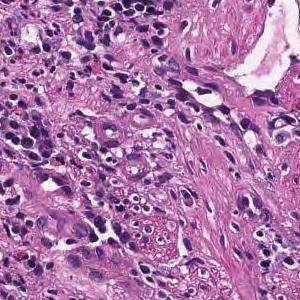
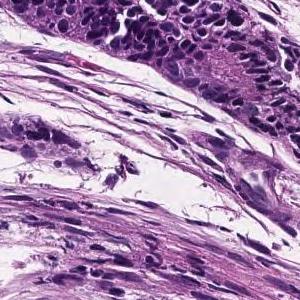
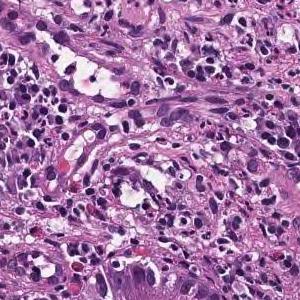
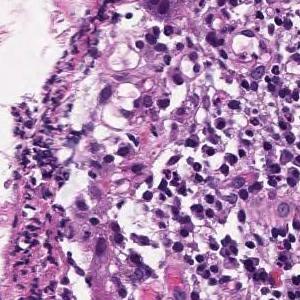
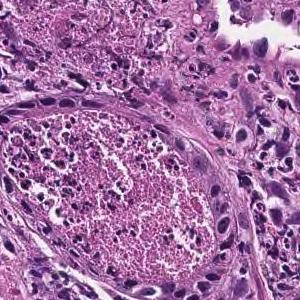
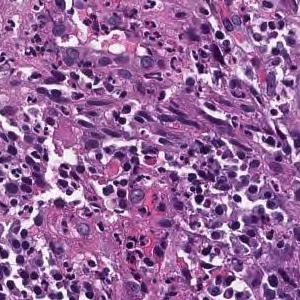
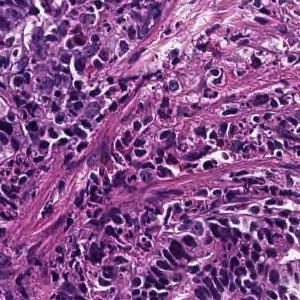
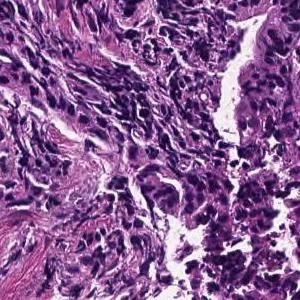
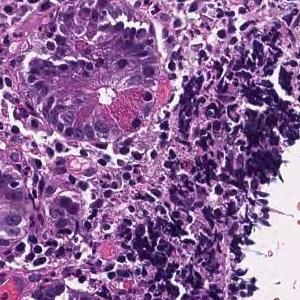
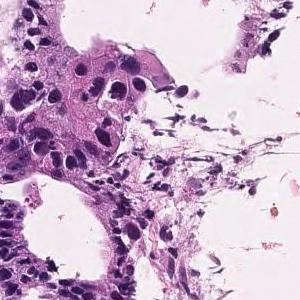
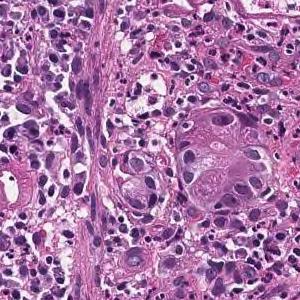
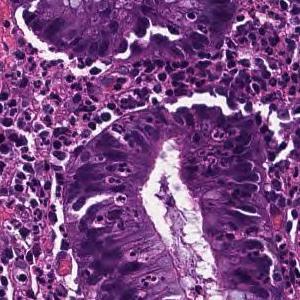
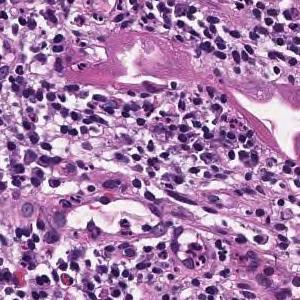
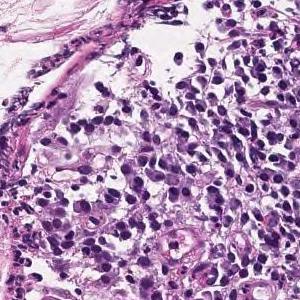
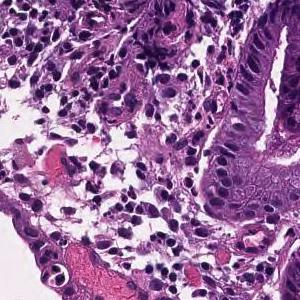
15 patches cut from one gastric biopsy slide · 20× magnification.
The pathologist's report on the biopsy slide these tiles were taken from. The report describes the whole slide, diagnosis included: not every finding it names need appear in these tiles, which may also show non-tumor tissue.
On the superficial epithelium, tumor tissue consisting of large, irregular glandular ducts partially fused and infiltrated is observed. Well to moderately differentiated tubular adenocarcinoma (well differentiated tubular adenocarcinoma, moderately differentiated tubular adenocarcinoma)
Tumor subtype: well to moderately differentiated tubular adenocarcinoma.
